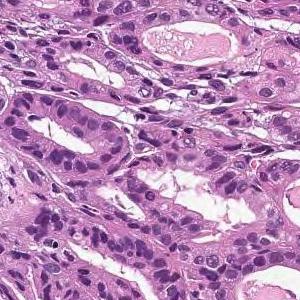
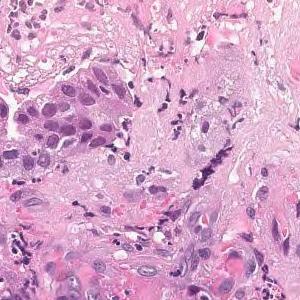
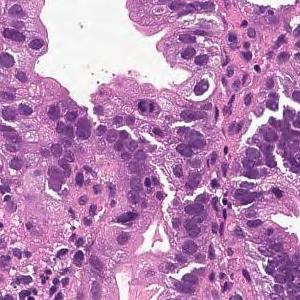
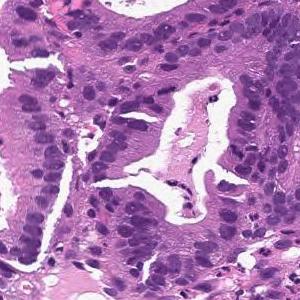
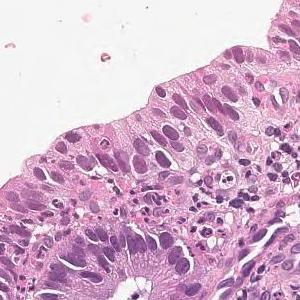
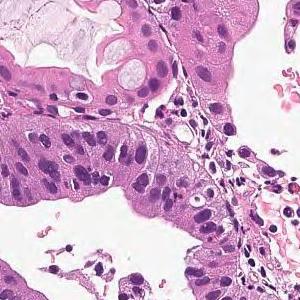
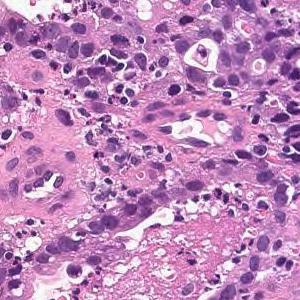
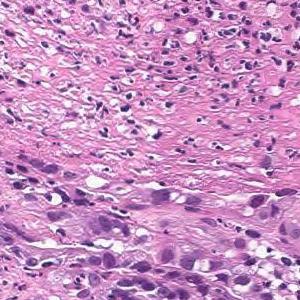
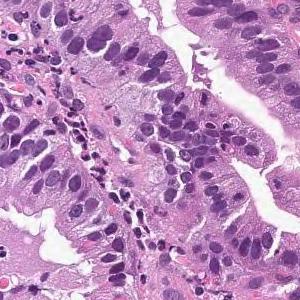
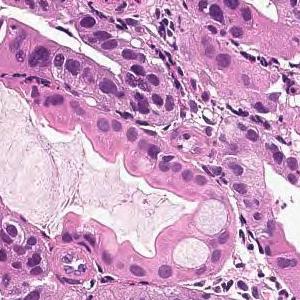
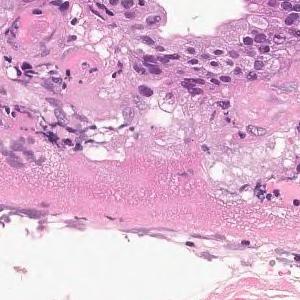
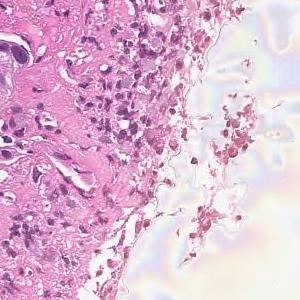
12 tiles cut from one stomach biopsy slide · 20× magnification · hematoxylin and eosin stain.
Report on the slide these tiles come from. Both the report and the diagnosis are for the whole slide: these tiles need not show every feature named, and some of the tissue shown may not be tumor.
From the superficial epithelium to the muscularis mucosae, tumor tissue consisting of medium-sized and irregular glandular ducts infiltrating is observed. Well differentiated tubular adenocarcinoma
